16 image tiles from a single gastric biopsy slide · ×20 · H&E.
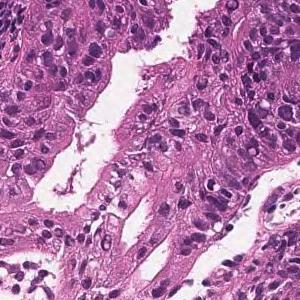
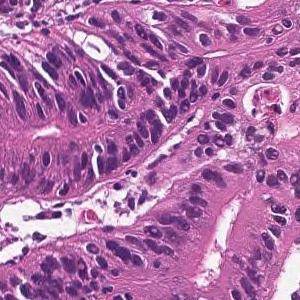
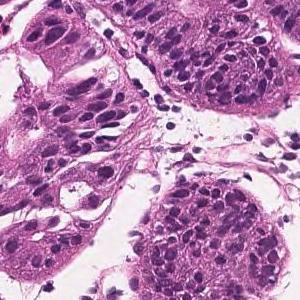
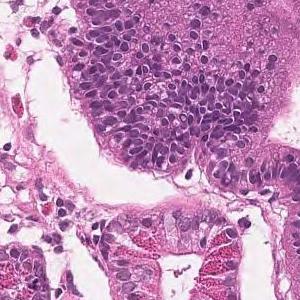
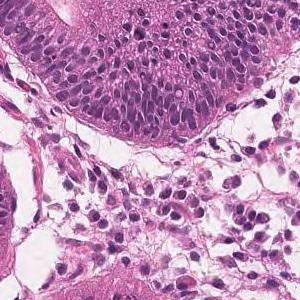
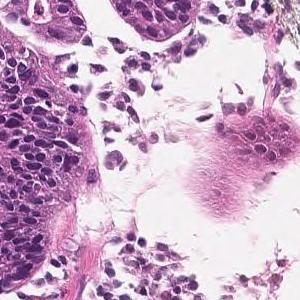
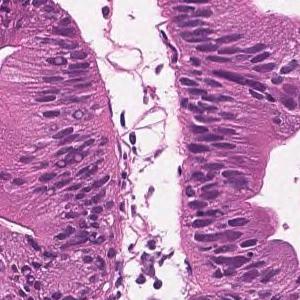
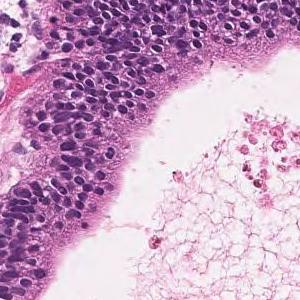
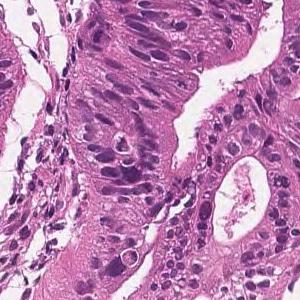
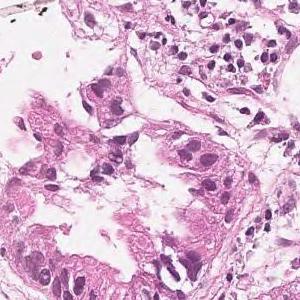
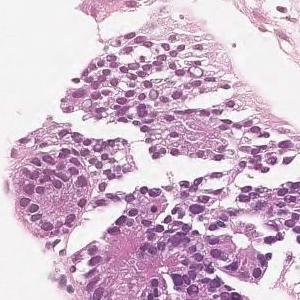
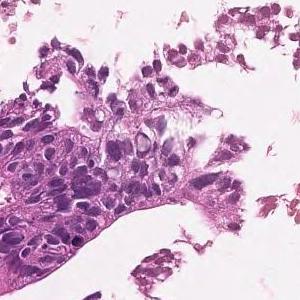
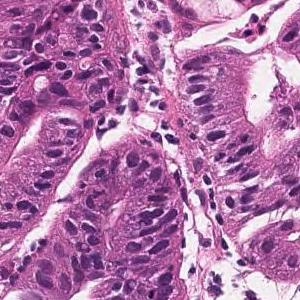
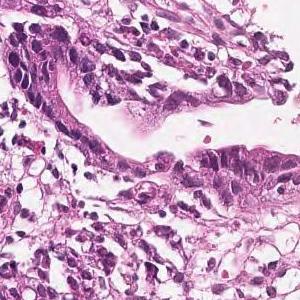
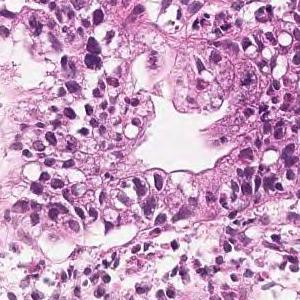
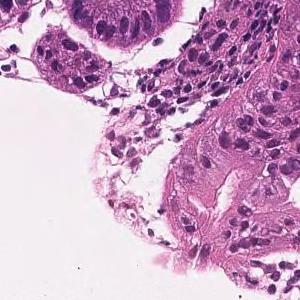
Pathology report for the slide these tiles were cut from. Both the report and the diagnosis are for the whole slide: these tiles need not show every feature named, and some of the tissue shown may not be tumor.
In the superficial epithelium, tumor tissue that invades by forming medium-sized to small, irregular ducts is observed. Well differentiated tubular adenocarcinoma.
